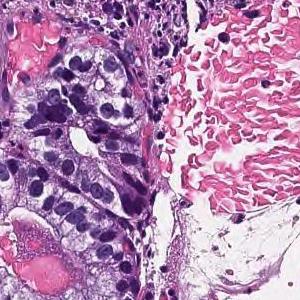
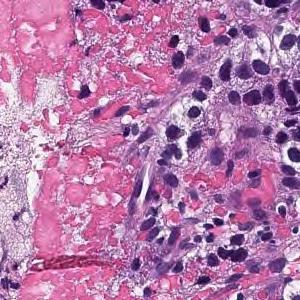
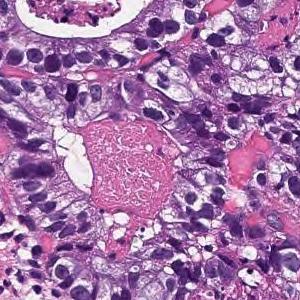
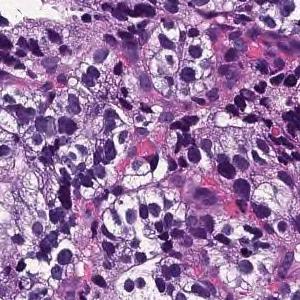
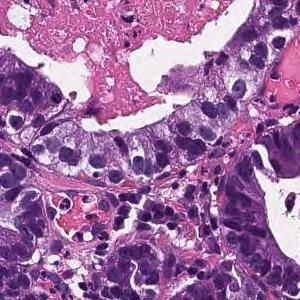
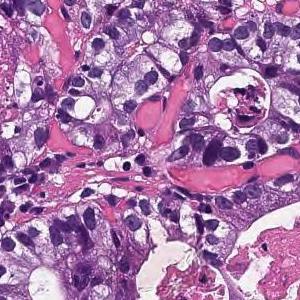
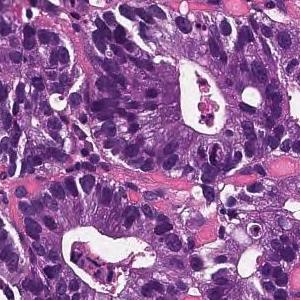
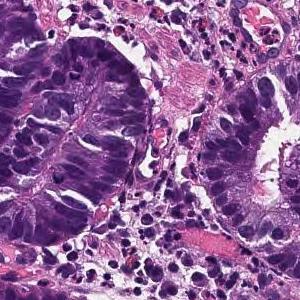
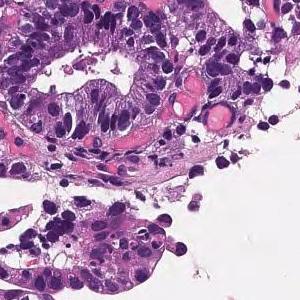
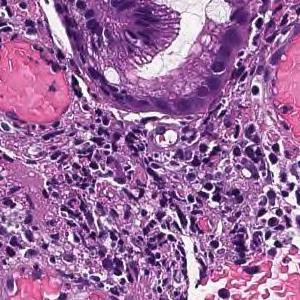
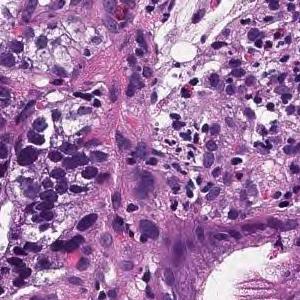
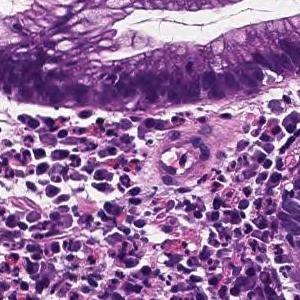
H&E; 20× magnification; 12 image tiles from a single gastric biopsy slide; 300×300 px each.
Pathology report for the biopsy slide these tiles were cut from. The report and the diagnosis cover the entire slide, so not every feature they name need be visible here, and some tissue shown may not be tumor.
From the superficial epithelium to the muscularis mucosae, tumor tissue consisting of medium-sized and irregular glandular ducts infiltrating is observed. Well differentiated tubular adenocarcinoma
